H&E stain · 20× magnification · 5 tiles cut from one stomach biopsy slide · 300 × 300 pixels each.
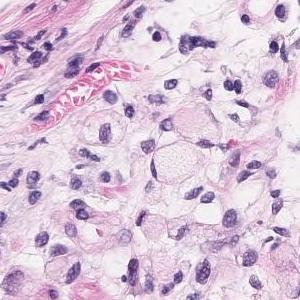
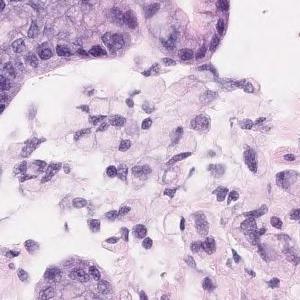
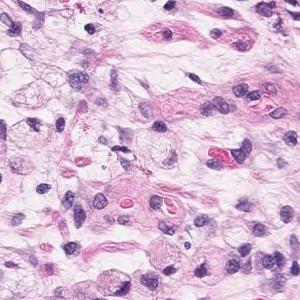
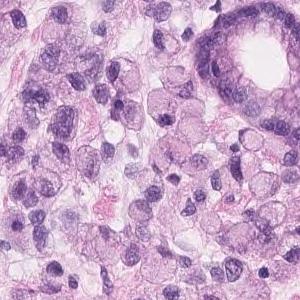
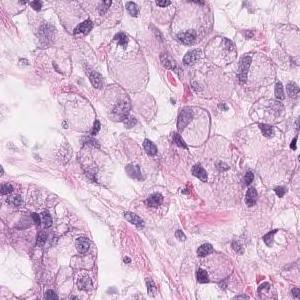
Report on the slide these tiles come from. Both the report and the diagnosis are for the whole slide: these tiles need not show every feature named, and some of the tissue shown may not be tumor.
In the lamina propria, atypical epithelial cells that store mucus and lack connectivity proliferate diffusely. Adenocarcinoma. Signet ring cell carcinoma.
